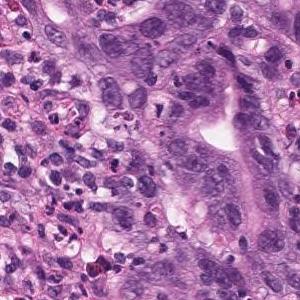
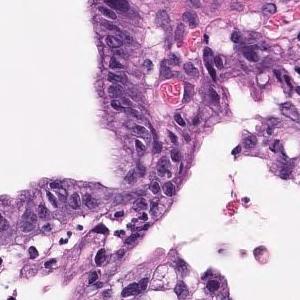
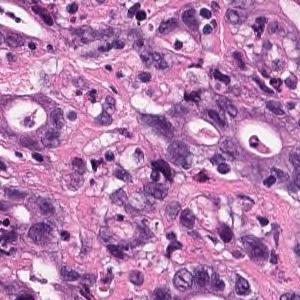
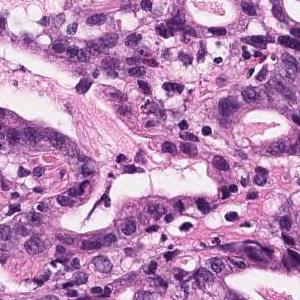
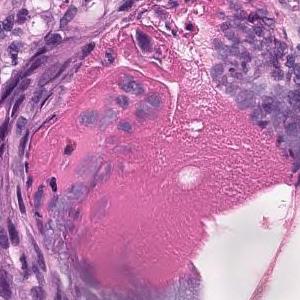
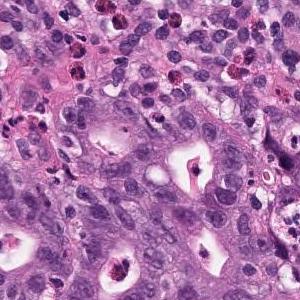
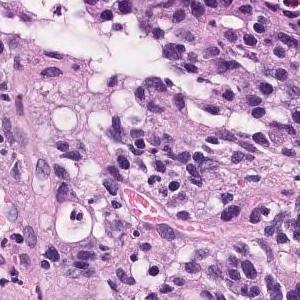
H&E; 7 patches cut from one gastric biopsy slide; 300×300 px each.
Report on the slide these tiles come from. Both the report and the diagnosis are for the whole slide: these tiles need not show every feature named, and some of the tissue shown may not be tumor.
Atypical ducts proliferating with obscure duct construction and solid sequences is observed. Moderately to poorly differentiated adenocarcinoma.
